H&E · ×20 · 15 patches cut from one gastric biopsy slide.
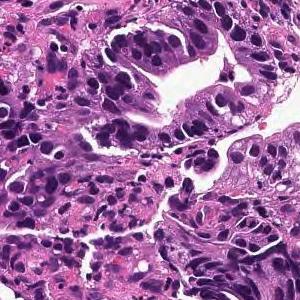
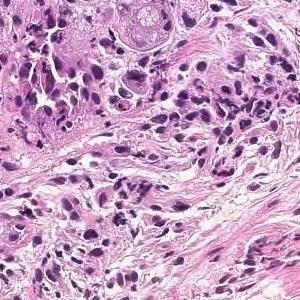
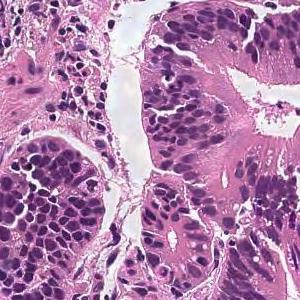
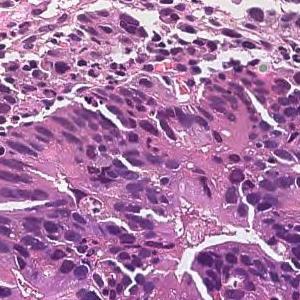
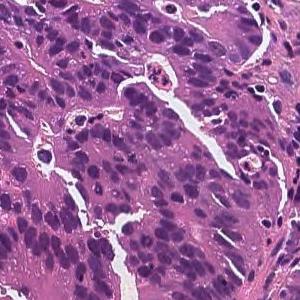
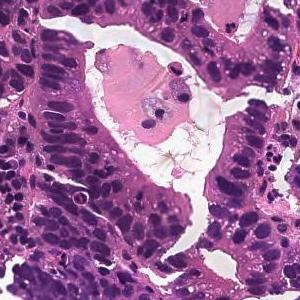
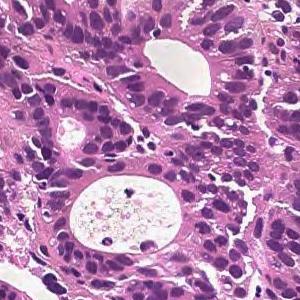
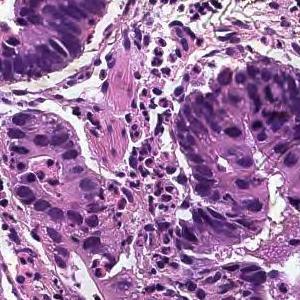
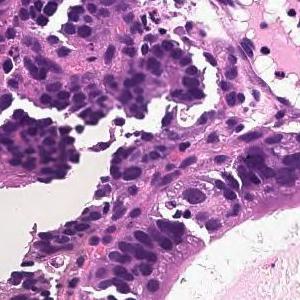
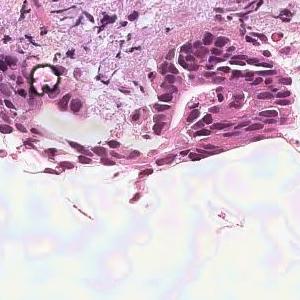
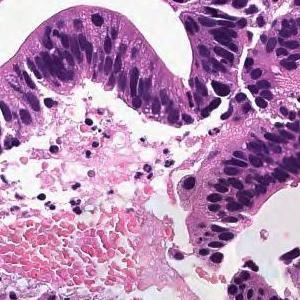
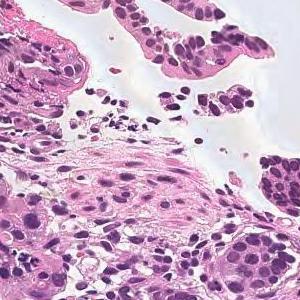
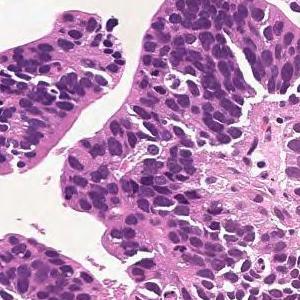
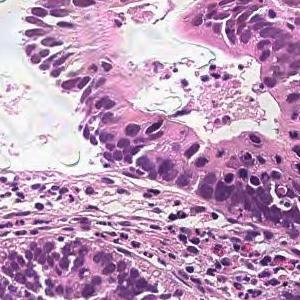
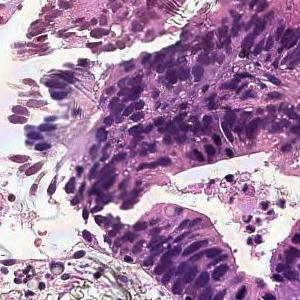
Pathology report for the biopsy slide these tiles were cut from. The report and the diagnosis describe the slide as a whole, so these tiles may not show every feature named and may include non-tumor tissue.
On the superficial epithelium, tumor tissue consisting of large irregular glandular ducts partially fused and infiltrated is observed. Well to moderately differentiated tubular adenocarcinoma (well differentiated tubular adenocarcinoma, moderately differentiated tubular adenocarcinoma)
Tumor subtype: well to moderately differentiated tubular adenocarcinoma.
